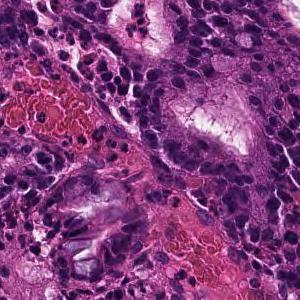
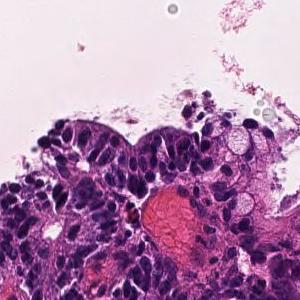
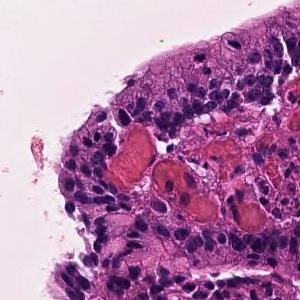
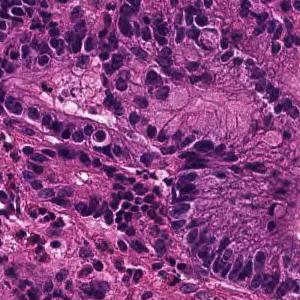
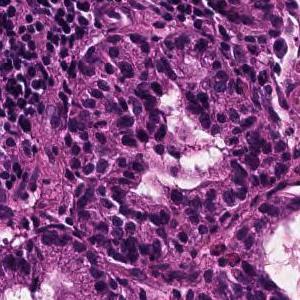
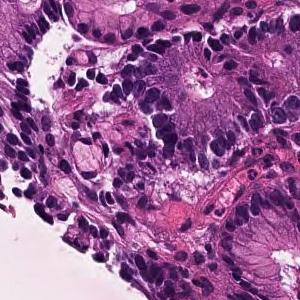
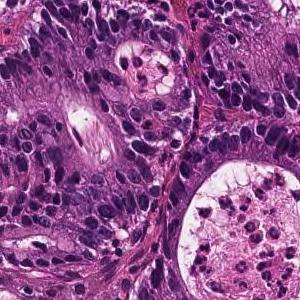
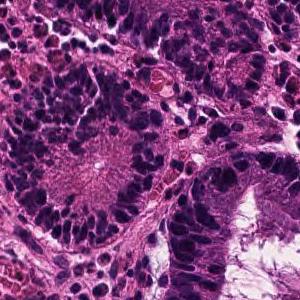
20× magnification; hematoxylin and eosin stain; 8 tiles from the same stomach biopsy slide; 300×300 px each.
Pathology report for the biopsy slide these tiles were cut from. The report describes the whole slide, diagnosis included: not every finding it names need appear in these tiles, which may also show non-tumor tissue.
In the superficial epithelium, tumor tissue that invades by forming medium-sized to small, irregular ducts is observed. moderately differentiated tubular adenocarcinoma.
